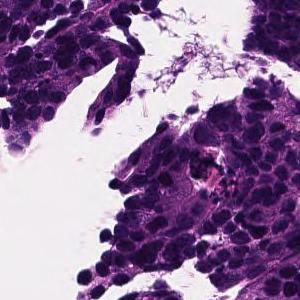
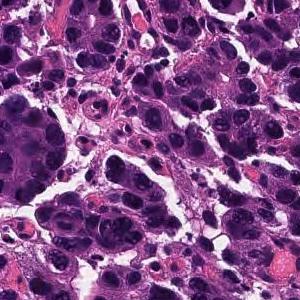
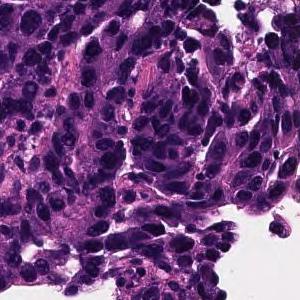
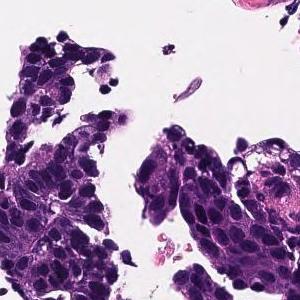
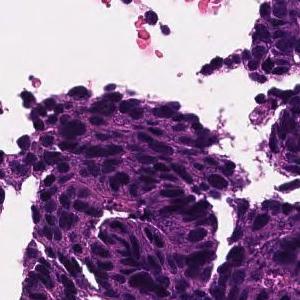
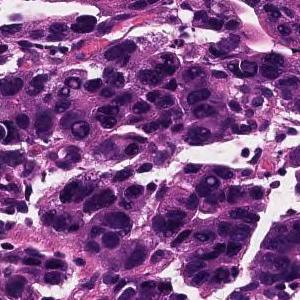
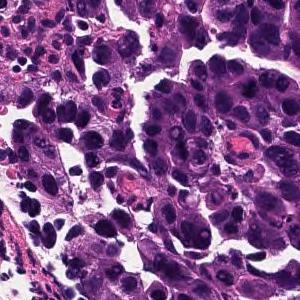
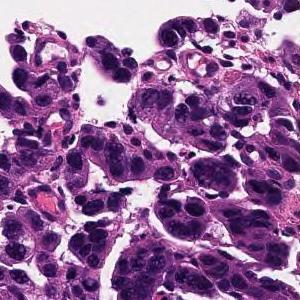
Hematoxylin and eosin stain; 20× magnification; 8 patches cut from one gastric biopsy slide; each 300 × 300 pixels.
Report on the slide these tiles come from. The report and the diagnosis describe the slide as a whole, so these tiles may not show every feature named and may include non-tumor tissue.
In the superficial epithelium, tumor tissue that invades by forming medium-sized to small, irregular ducts is observed. moderately differentiated tubular adenocarcinoma.
